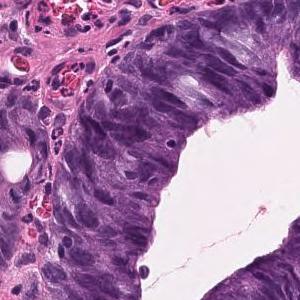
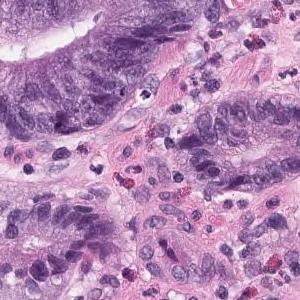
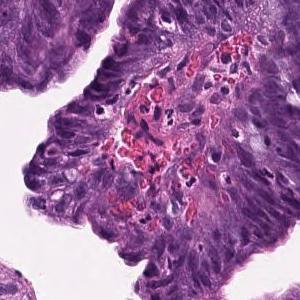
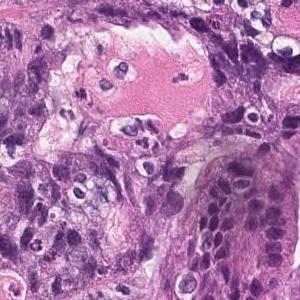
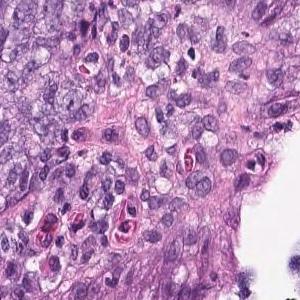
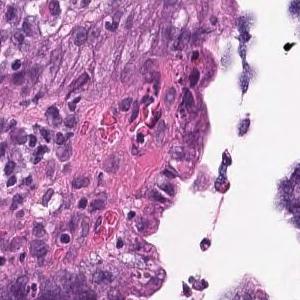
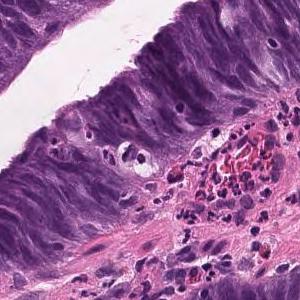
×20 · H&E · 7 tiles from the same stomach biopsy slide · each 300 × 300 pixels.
Diagnostic report for the slide these tiles come from. What the report and the diagnosis say applies to the whole slide; these tiles may miss some of the features named and may include tissue that is not tumor.
Large atypical epithelial cells with swollen atypical nuclei are seen proliferating into a tubular fusion gland. moderately differentiated tubular adenocarcinoma
